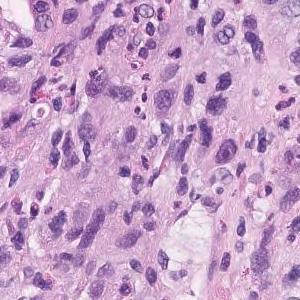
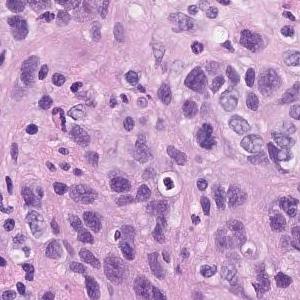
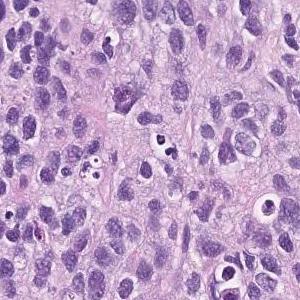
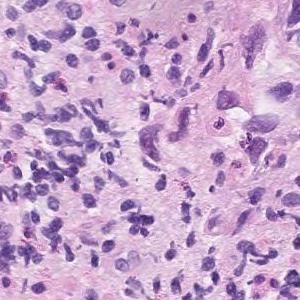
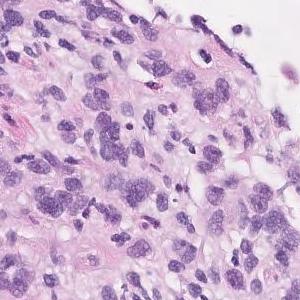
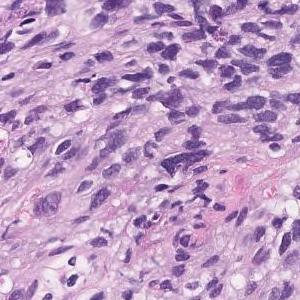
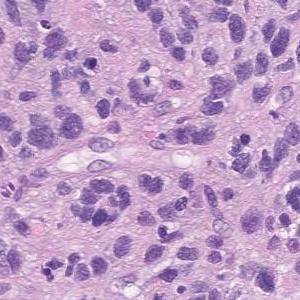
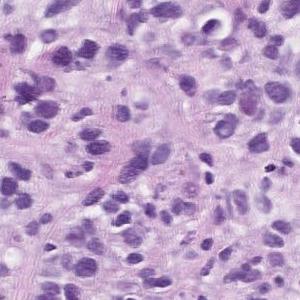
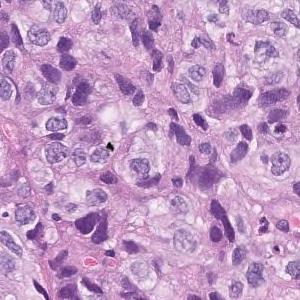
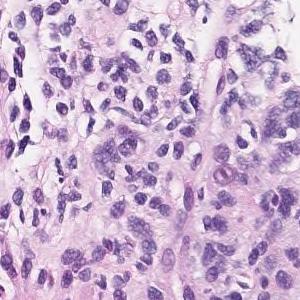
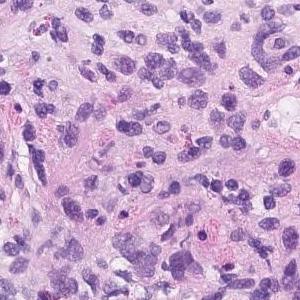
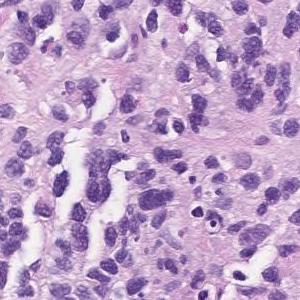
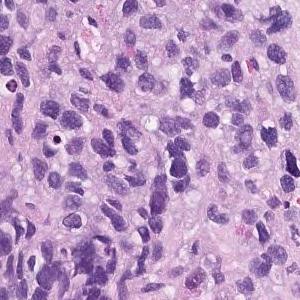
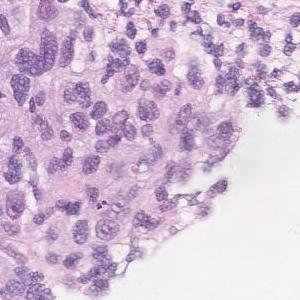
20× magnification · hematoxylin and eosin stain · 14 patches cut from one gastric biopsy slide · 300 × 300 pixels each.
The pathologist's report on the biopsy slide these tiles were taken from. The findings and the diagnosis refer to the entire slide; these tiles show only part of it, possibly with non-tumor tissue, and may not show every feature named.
Atypical l cells with atypical nuclei under the mucosa growing in isolation and scattered. Poorly differentiated adenocarcinoma (poorly differentiated adenocarcinoma, non-solid type)
Classified as poorly differentiated adenocarcinoma, non-solid type.
"Non-solid type" is a category of the Japanese Classification of Gastric Carcinoma.
